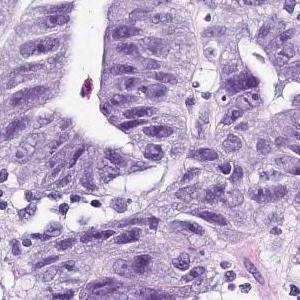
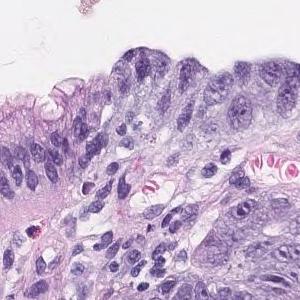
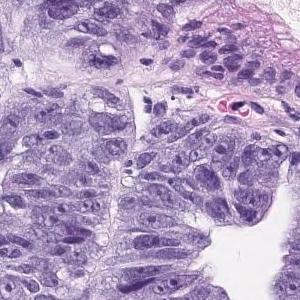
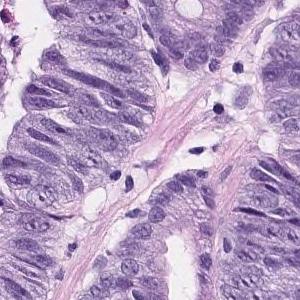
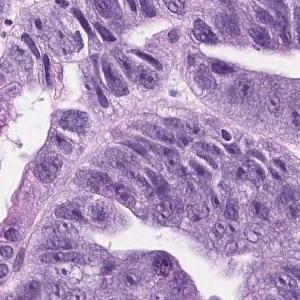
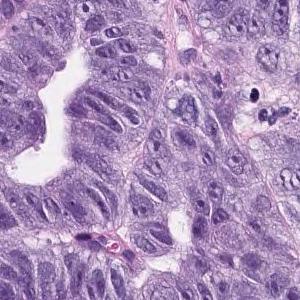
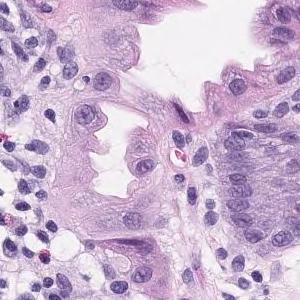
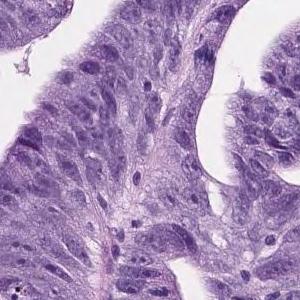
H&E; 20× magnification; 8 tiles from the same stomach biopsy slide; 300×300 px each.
Report on the slide these tiles come from. The report and the diagnosis describe the slide as a whole, so these tiles may not show every feature named and may include non-tumor tissue.
In the superficial epithelium, tumor tissue that invades by forming medium-sized to small, irregular ducts is observed. Moderately differentiated adenocarcinoma.
Histologic type: Moderately differentiated tubular adenocarcinoma.
